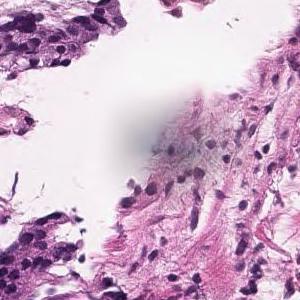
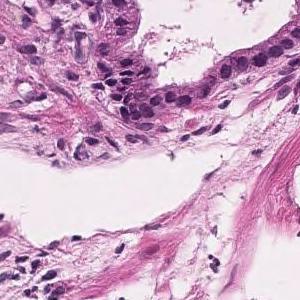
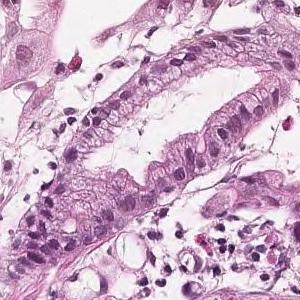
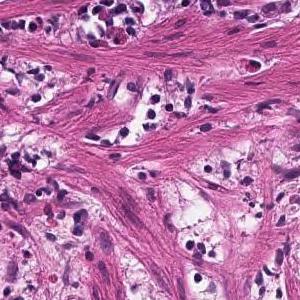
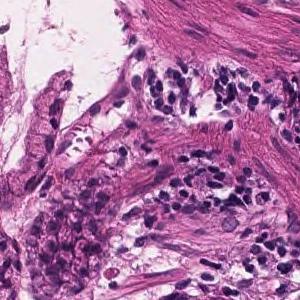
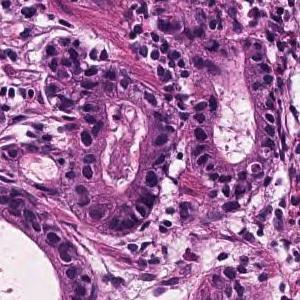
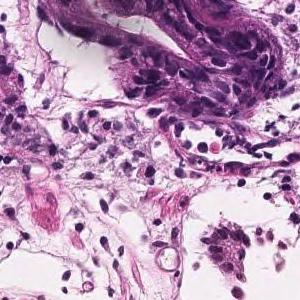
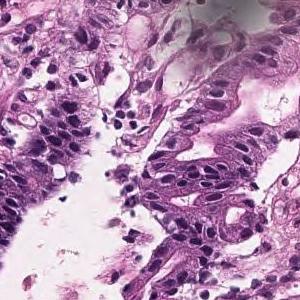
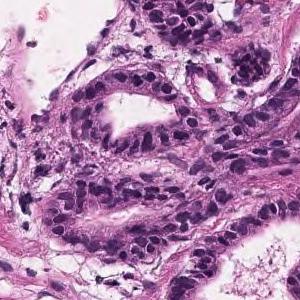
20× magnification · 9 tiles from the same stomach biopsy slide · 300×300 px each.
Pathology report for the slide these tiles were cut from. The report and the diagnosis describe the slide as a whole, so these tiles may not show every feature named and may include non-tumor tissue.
Tumor tissue with atypical epithelium showing irregular ductal or sieving ductal structure and proliferating is observed. Well to moderately differentiated tubular adenocarcinoma (well differentiated tubular adenocarcinoma-moderately differentiated tubular adenocarcinoma)
Subtype: Well to moderately differentiated tubular adenocarcinoma.
